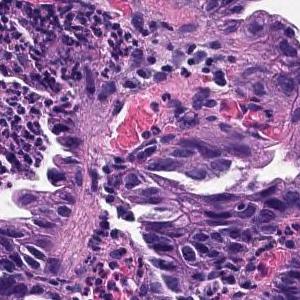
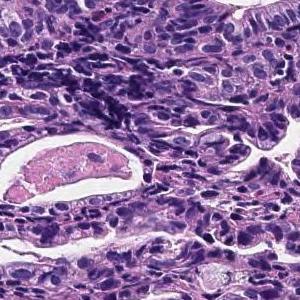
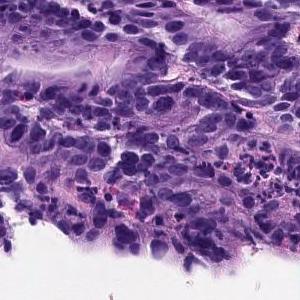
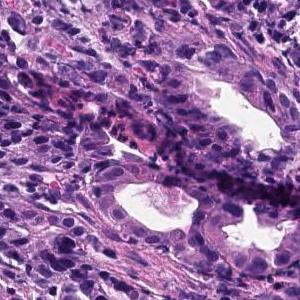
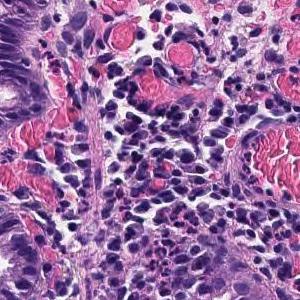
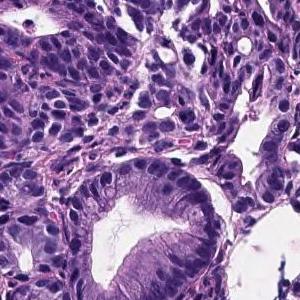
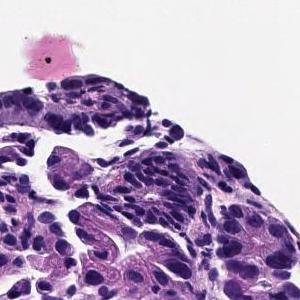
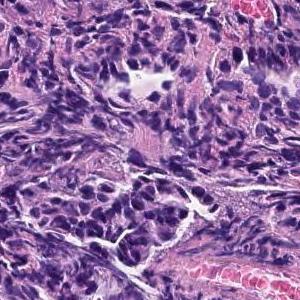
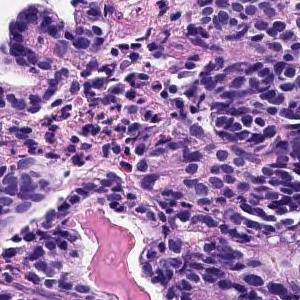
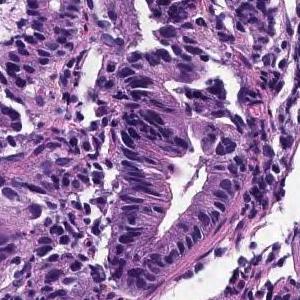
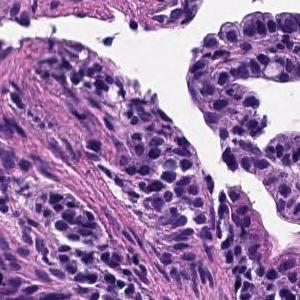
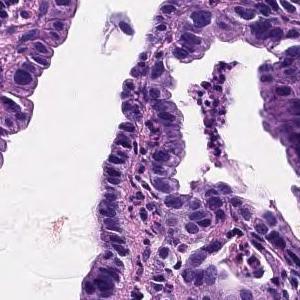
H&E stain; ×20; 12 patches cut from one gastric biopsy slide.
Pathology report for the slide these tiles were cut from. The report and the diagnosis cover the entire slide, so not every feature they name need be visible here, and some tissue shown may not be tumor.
The superficial tumors shows large papillary structures or large and small ducts and infiltrates. Papillary adenocarcinoma.
